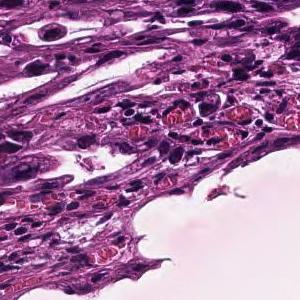
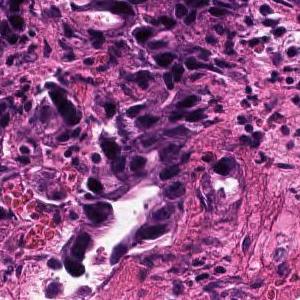
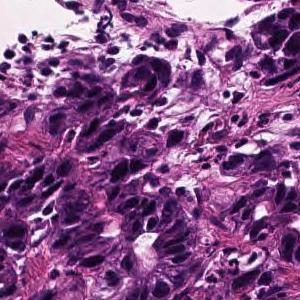
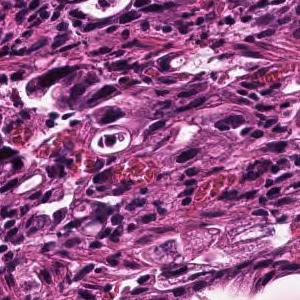
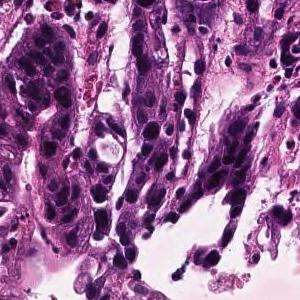
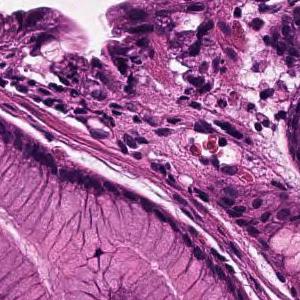
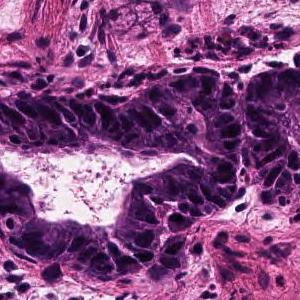
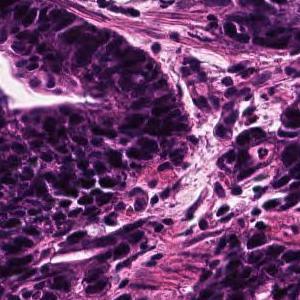
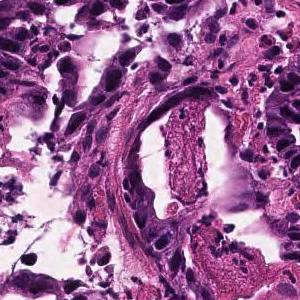
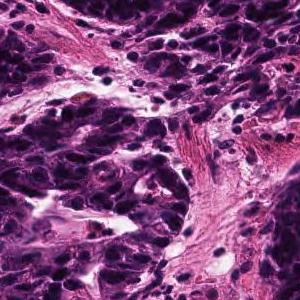
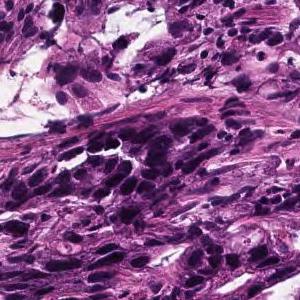
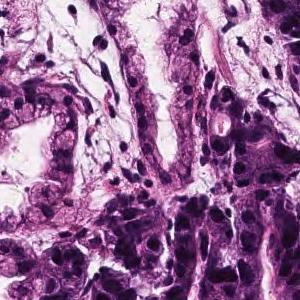
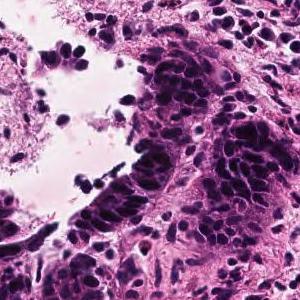
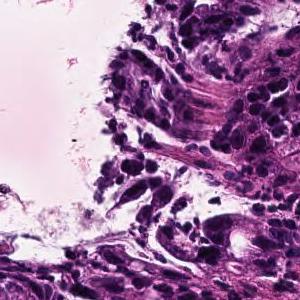
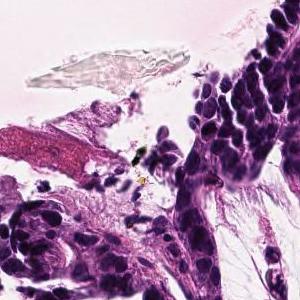
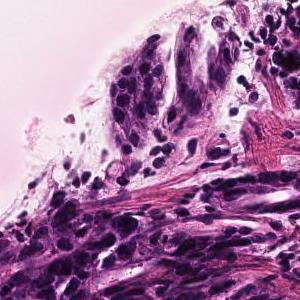
20× magnification; 16 tiles from the same stomach biopsy slide.
Report on the slide these tiles come from. The report and the diagnosis cover the entire slide, so not every feature they name need be visible here, and some tissue shown may not be tumor.
In the superficial epithelium, tumor tissue that invades by forming medium-sized to small, irregular ducts is observed. moderately differentiated tubular adenocarcinoma.
